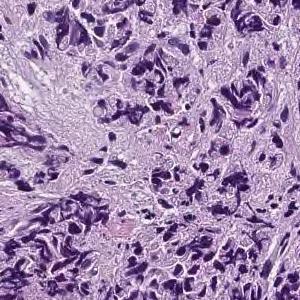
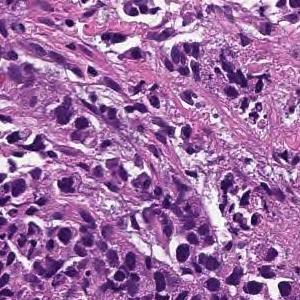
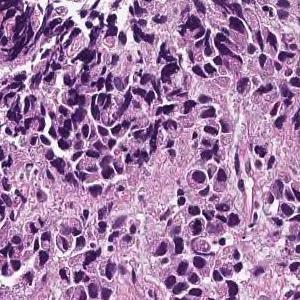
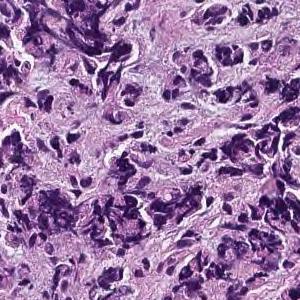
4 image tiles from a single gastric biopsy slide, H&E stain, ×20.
Pathology report for the biopsy slide these tiles were cut from. The report and the diagnosis cover the entire slide, so not every feature they name need be visible here, and some tissue shown may not be tumor.
The lamina propria shows small cord-like tumor tissue that infiltrates with fibrosis and marked chronic inflammatory cell infiltration. Poorly differentiated adenocarcinoma, non-solid type
"Non-solid type" is a category of the Japanese Classification of Gastric Carcinoma.
